H&E stain; 20× magnification; 14 patches cut from one gastric biopsy slide; 300×300 px each.
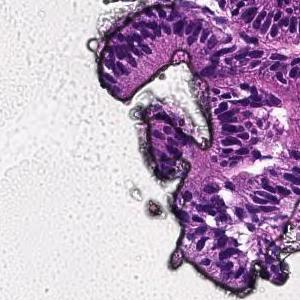
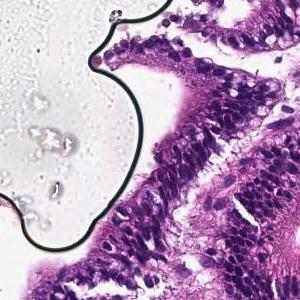
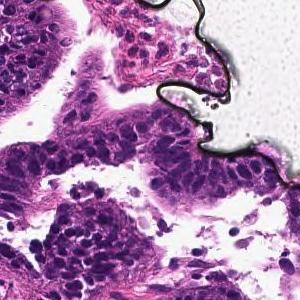
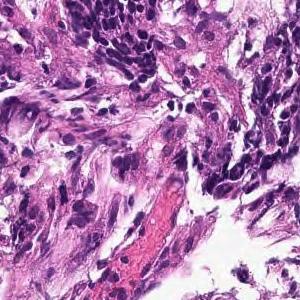
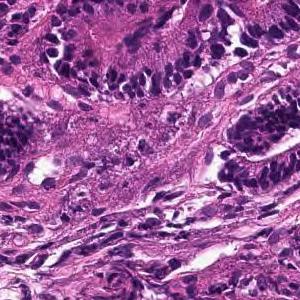
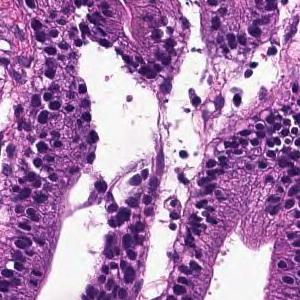
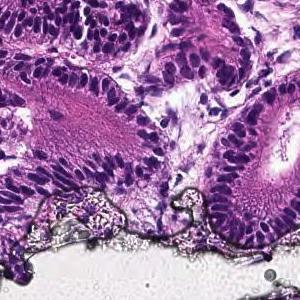
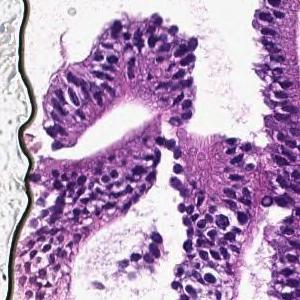
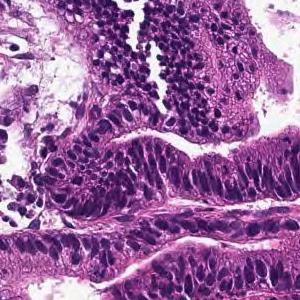
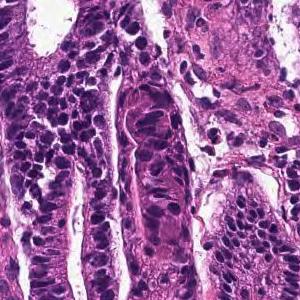
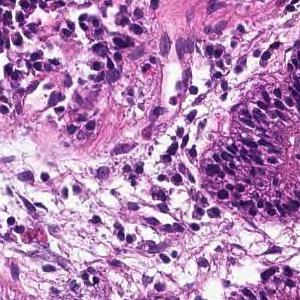
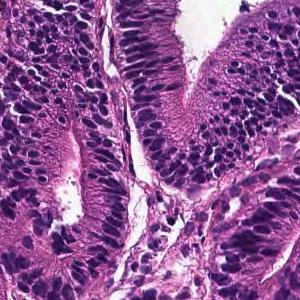
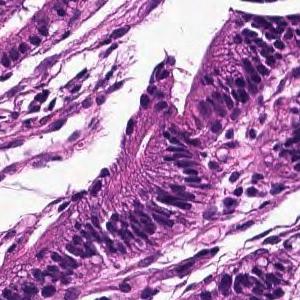
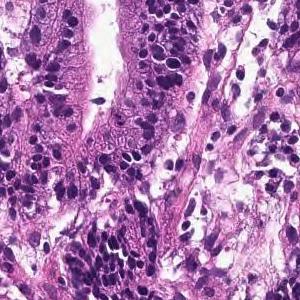
Pathology report for the slide these tiles were cut from. The report and the diagnosis cover the entire slide, so not every feature they name need be visible here, and some tissue shown may not be tumor.
On the superficial epithelium, tumor tissue that infiltrates by forming medium-sized round or small irregular ducts is observed. Papillary adenocarcinoma
